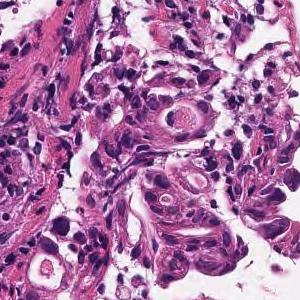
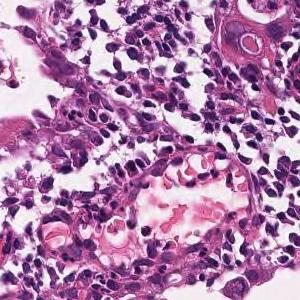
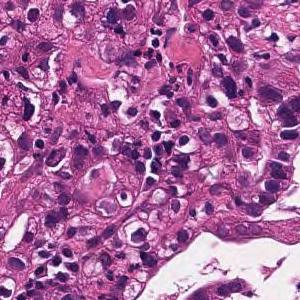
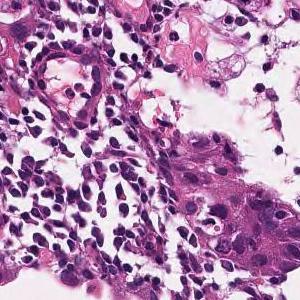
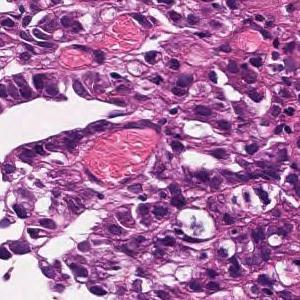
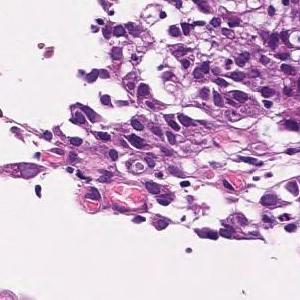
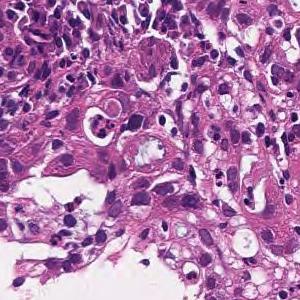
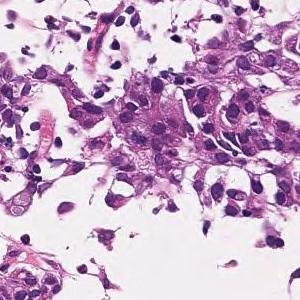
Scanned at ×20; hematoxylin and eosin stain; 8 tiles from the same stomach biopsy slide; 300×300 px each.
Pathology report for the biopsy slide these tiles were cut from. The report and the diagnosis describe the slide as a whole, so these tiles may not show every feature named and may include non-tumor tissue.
Tumor tissue consisting of cord-like or small, irregular glandular ducts fused and infiltrated is observed in the superficial epithelium. Poorly differentiated adenocarcinoma, non-solid type
"Non-solid type" is a category of the Japanese Classification of Gastric Carcinoma.
